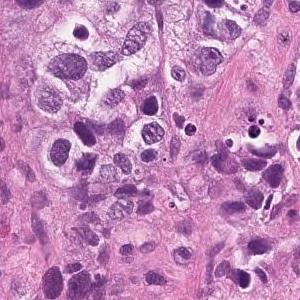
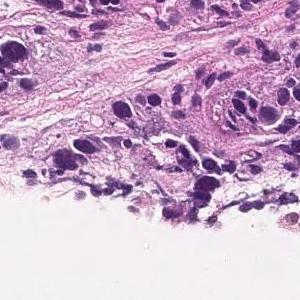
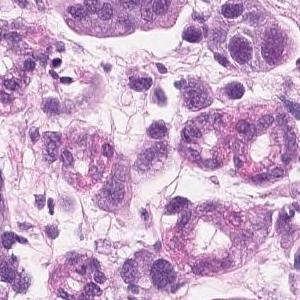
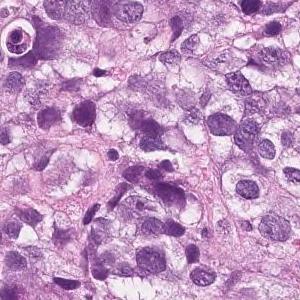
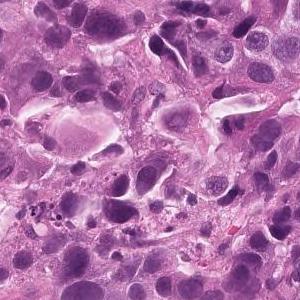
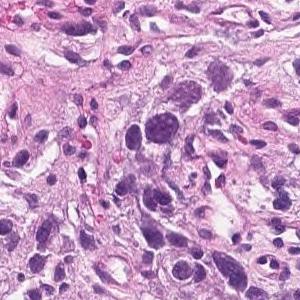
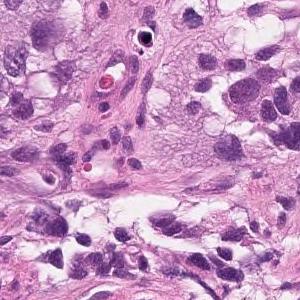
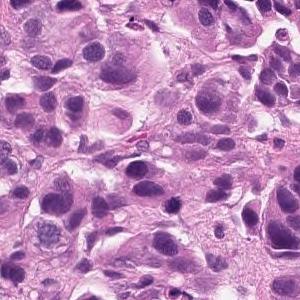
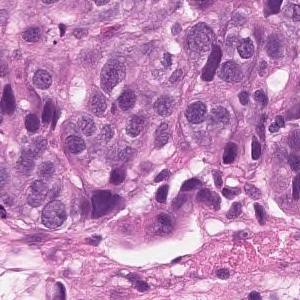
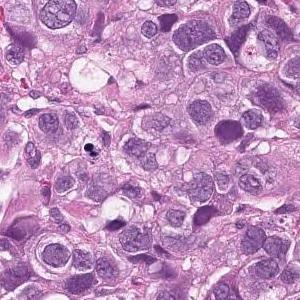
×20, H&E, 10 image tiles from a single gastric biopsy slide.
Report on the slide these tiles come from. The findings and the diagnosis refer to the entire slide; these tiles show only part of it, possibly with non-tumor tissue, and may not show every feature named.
Tumor tissue that infiltrates the epithelium in an alveolar manner. Poorly differentiated adenocarcinoma, solid-type
Subtype: Poorly differentiated adenocarcinoma, solid type. This name comes from the Japanese Classification of Gastric Carcinoma; the WHO 2019 classification calls it tubular adenocarcinoma, poorly differentiated.
